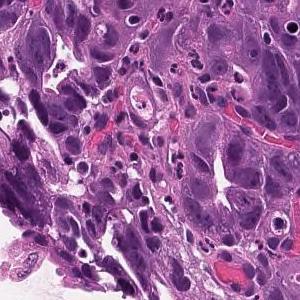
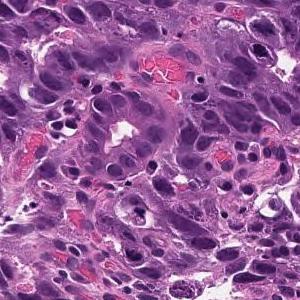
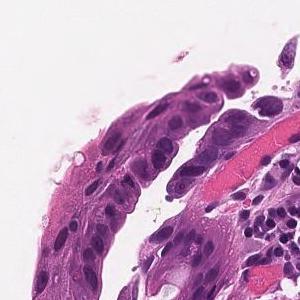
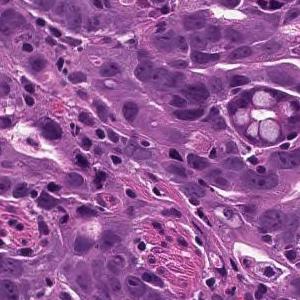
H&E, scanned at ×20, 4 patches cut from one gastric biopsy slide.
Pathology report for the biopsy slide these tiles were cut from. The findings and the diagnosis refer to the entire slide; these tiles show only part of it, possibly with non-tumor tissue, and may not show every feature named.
On the superficial epithelium, tumor tissue is found in which medium-sized irregular gland ducts fuse with each other and infiltrate. moderately differentiated tubular adenocarcinoma
